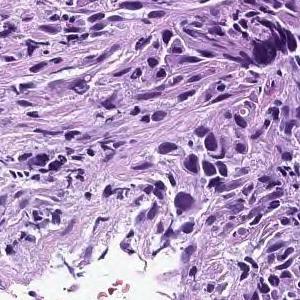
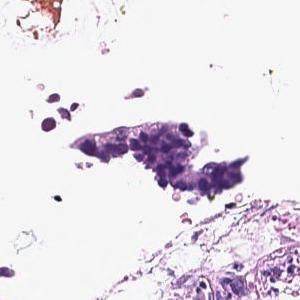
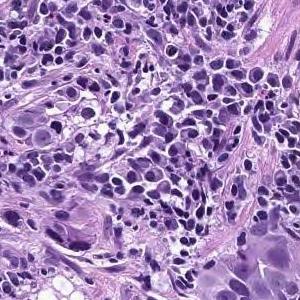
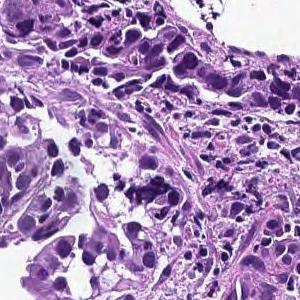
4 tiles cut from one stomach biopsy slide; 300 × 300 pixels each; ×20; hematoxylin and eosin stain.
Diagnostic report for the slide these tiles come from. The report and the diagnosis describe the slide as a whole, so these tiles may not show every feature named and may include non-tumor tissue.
In the superficial epithelium, tumor tissue that invades by forming medium-sized to small, irregular ducts is observed. moderately differentiated tubular adenocarcinoma.
